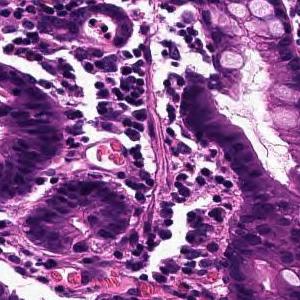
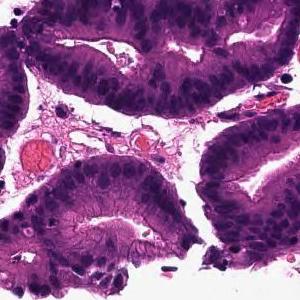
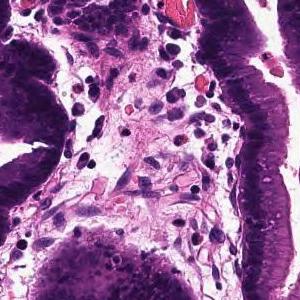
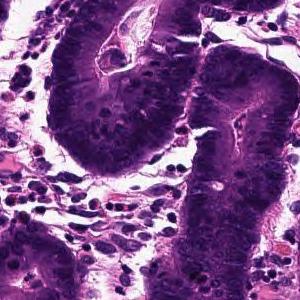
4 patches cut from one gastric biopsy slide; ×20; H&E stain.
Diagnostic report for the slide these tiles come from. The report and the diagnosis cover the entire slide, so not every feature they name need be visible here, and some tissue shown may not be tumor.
Tumor tissue that infiltrates by forming large papillary or large irregular glandular ducts is observed confined to the mucosa. Papillary adenocarcinoma
